×20; 6 patches cut from one gastric biopsy slide; 300 × 300 pixels each.
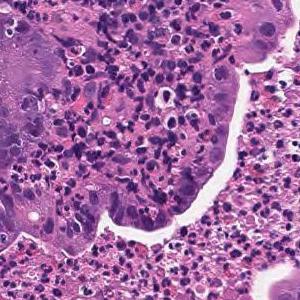
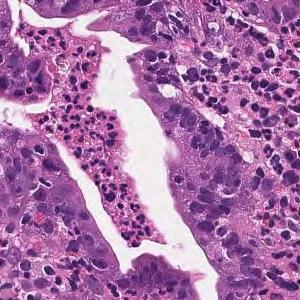
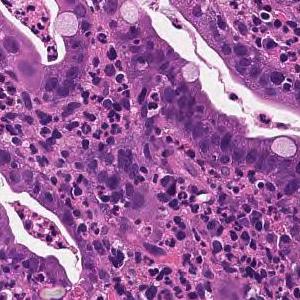
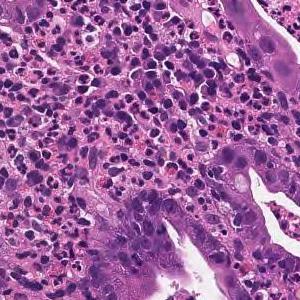
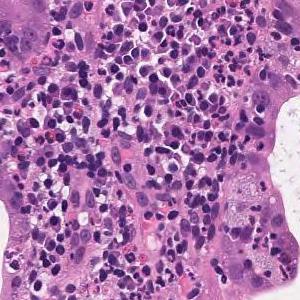
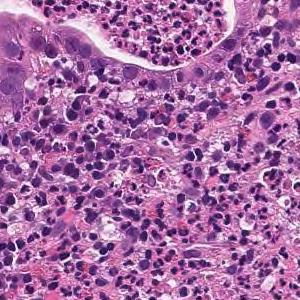
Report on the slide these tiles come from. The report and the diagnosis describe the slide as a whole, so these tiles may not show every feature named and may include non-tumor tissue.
From the superficial epithelium to the muscularis mucosae, tumor tissue consisting of medium-sized and irregular glandular ducts infiltrating is observed. Well differentiated tubular adenocarcinoma
